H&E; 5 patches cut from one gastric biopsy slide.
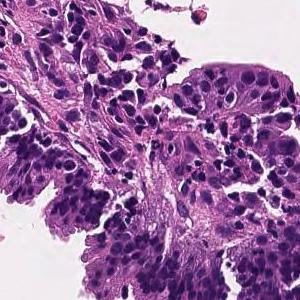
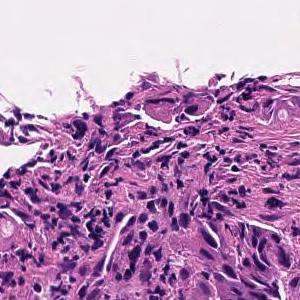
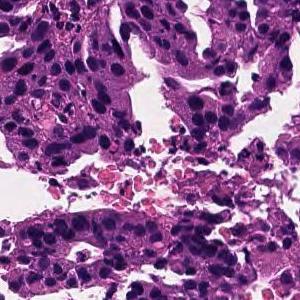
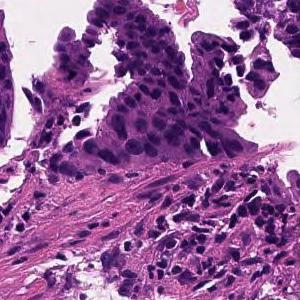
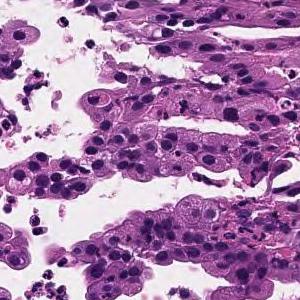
Pathology report for the biopsy slide these tiles were cut from. What the report and the diagnosis say applies to the whole slide; these tiles may miss some of the features named and may include tissue that is not tumor.
On the superficial epithelium, tumor tissue consisting of large, irregular glandular ducts partially fused and infiltrated is observed. Well to moderately differentiated tubular adenocarcinoma (well differentiated tubular adenocarcinoma, moderately differentiated tubular adenocarcinoma)
Classified as well to moderately differentiated tubular adenocarcinoma.
